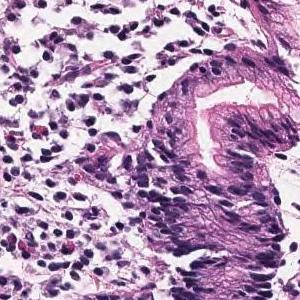
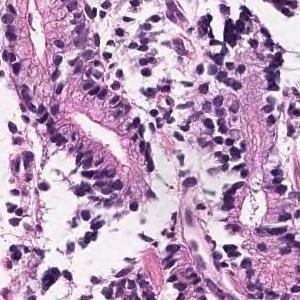
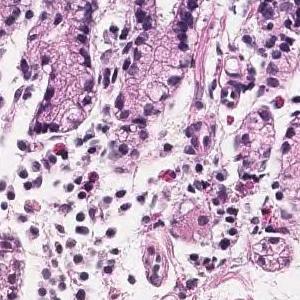
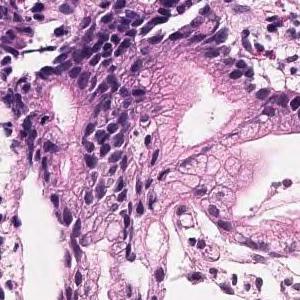
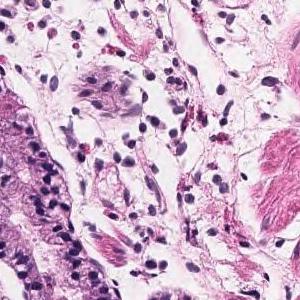
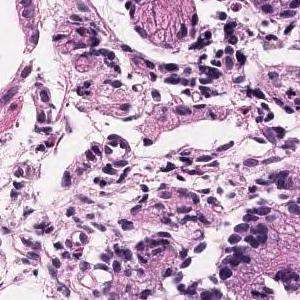
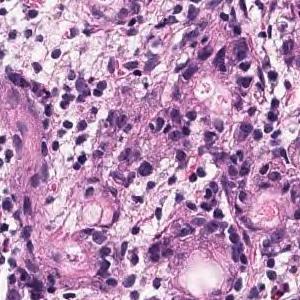
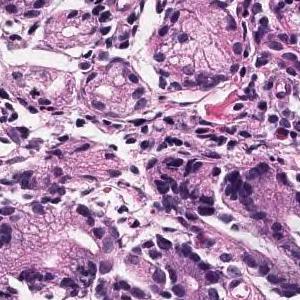
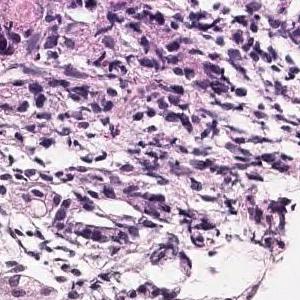
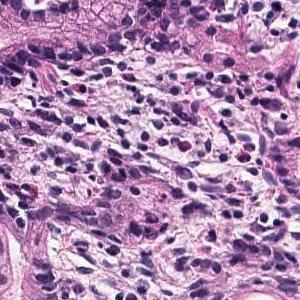
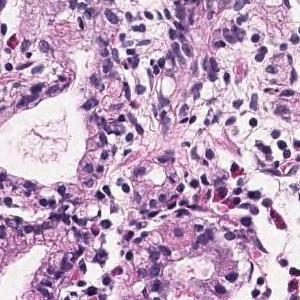
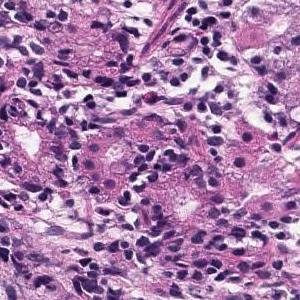
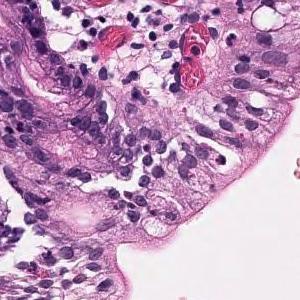
13 tiles from the same stomach biopsy slide · 300 × 300 pixels each · H&E · 20× magnification.
Diagnostic report for the slide these tiles come from. What the report and the diagnosis say applies to the whole slide; these tiles may miss some of the features named and may include tissue that is not tumor.
Tumor tissue that grows and grows is observed, showing a medium-sized round or irregular duct. moderately differentiated tubular adenocarcinoma
